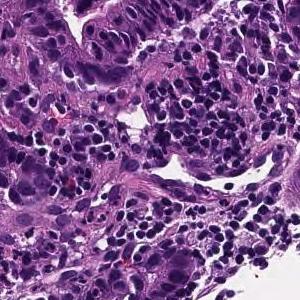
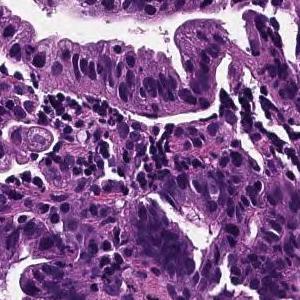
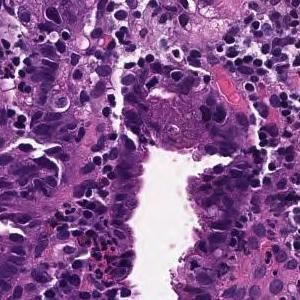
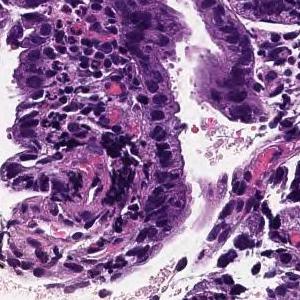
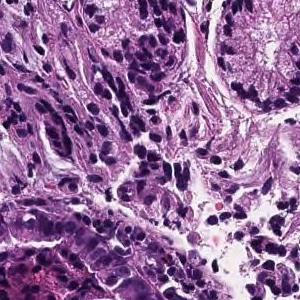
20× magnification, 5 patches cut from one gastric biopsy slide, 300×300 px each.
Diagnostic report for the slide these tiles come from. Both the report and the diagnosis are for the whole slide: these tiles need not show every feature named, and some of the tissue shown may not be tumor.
From the superficial epithelium to the muscularis mucosae, tumor tissue consisting of medium-sized and irregular glandular ducts infiltrating is observed. Well differentiated tubular adenocarcinoma
